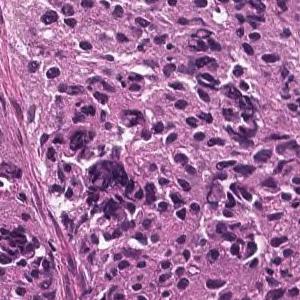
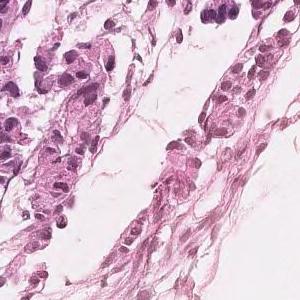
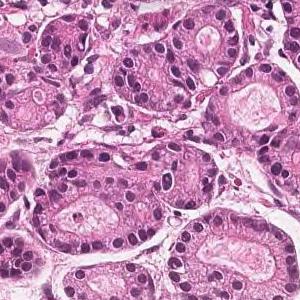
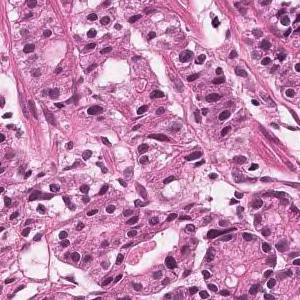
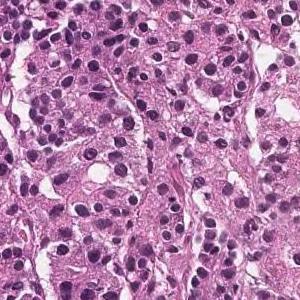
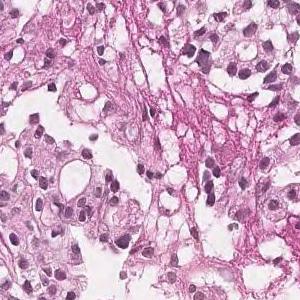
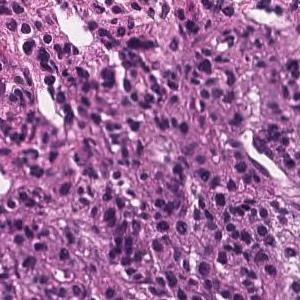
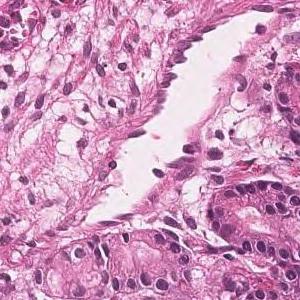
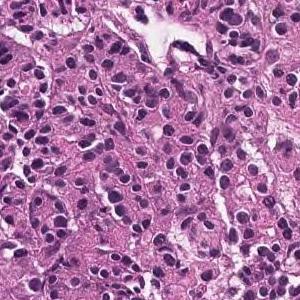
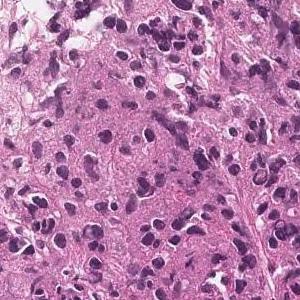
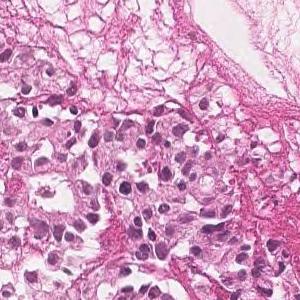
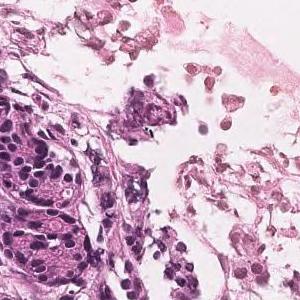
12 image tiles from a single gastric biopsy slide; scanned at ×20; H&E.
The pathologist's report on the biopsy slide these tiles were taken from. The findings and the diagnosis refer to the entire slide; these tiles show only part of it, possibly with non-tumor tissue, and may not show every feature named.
In the superficial epithelium, tumor tissue that invades by forming medium-sized to small, irregular ducts is observed. Moderately differentiated adenocarcinoma.
Histological subtype: Moderately differentiated tubular adenocarcinoma.
